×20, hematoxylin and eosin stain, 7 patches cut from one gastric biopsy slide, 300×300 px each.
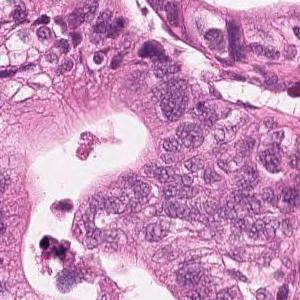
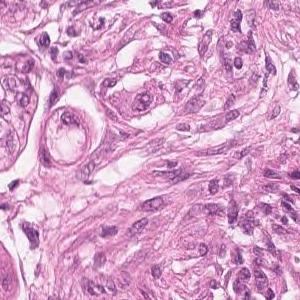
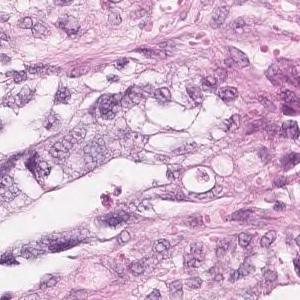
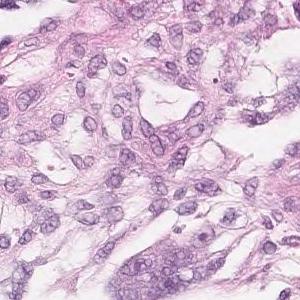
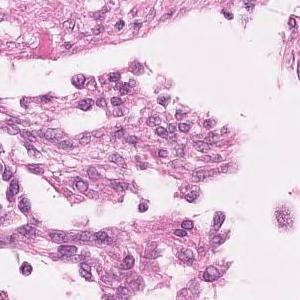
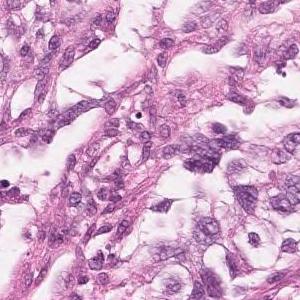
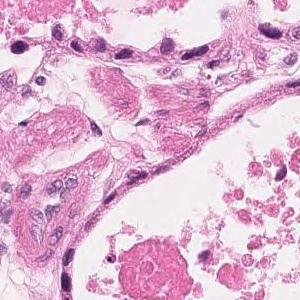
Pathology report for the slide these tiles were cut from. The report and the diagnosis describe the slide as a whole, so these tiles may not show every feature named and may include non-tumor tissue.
Highly columnar epithelium with disordered nuclear localization proliferates showing fusion ductal construction. moderately differentiated tubular adenocarcinoma
